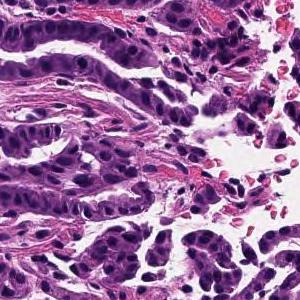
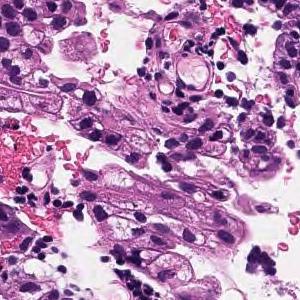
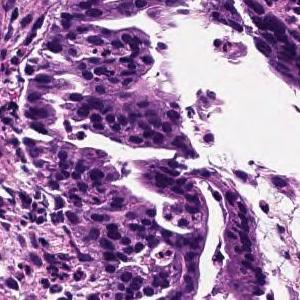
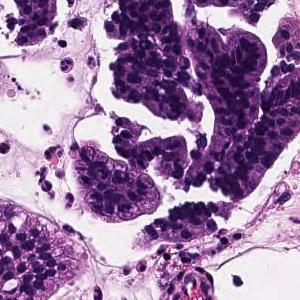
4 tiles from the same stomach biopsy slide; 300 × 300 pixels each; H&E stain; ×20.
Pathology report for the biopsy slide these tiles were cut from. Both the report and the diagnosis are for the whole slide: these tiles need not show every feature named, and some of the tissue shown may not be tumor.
On the superficial epithelium, tumor tissue that infiltrates by forming medium-sized papillary or small irregular ducts is observed. Papillary adenocarcinoma
